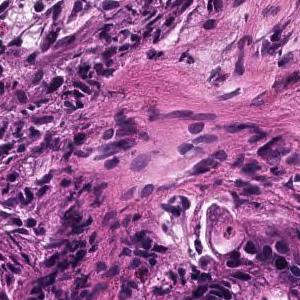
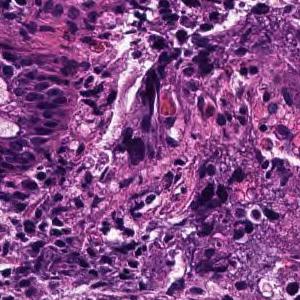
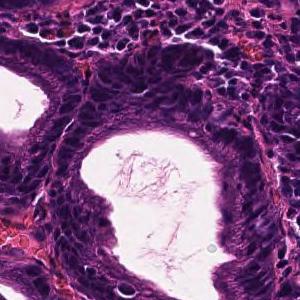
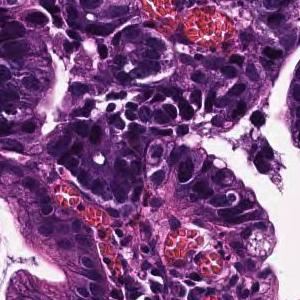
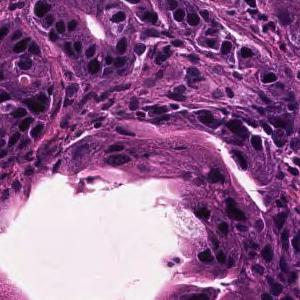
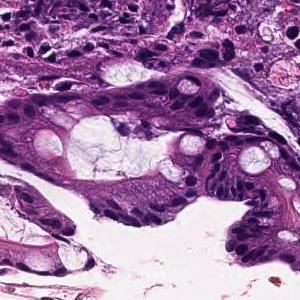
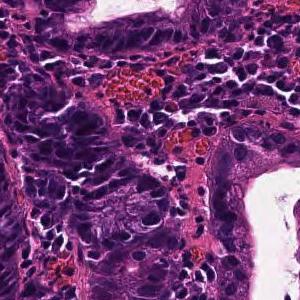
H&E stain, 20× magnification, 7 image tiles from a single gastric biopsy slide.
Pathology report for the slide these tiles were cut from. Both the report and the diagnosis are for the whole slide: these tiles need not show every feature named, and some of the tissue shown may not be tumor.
In the superficial epithelium, tumor tissue that invades by forming medium-sized to small, irregular ducts is observed. moderately differentiated tubular adenocarcinoma.
